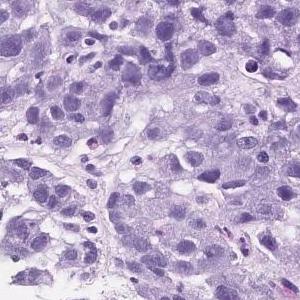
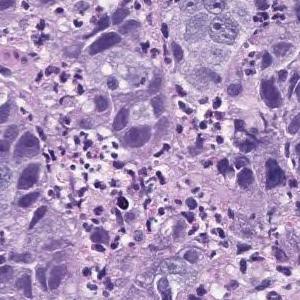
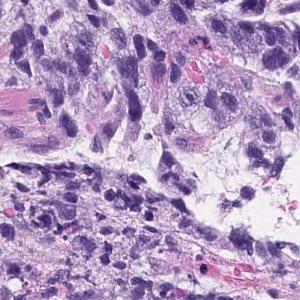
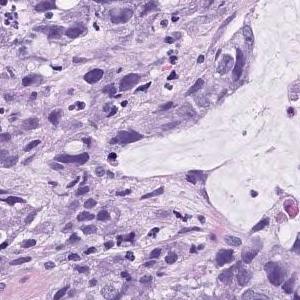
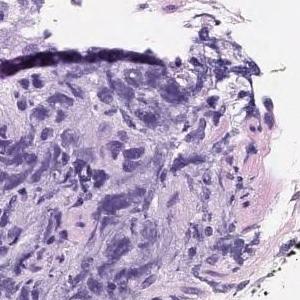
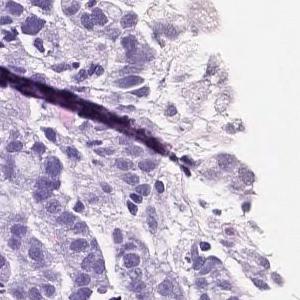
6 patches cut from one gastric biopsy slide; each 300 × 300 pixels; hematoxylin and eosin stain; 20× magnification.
Diagnostic report for the slide these tiles come from. What the report and the diagnosis say applies to the whole slide; these tiles may miss some of the features named and may include tissue that is not tumor.
Atypical l cells with atypical nuclei forming solid vesicles or small irregular atypical ducts that proliferate in a complex manner. poorly differentiated adenocarcinoma, solid type, moderately differentiated tubular adenocarcinoma
"Solid type" is a category of the Japanese Classification of Gastric Carcinoma; in the WHO 2019 classification it is tubular adenocarcinoma, poorly differentiated.
